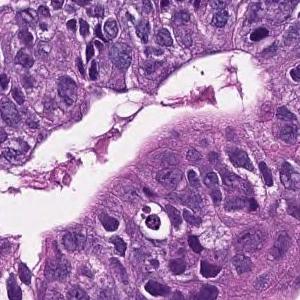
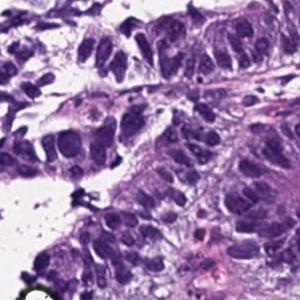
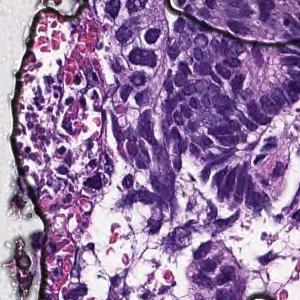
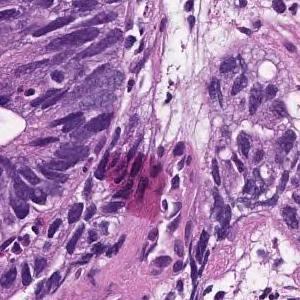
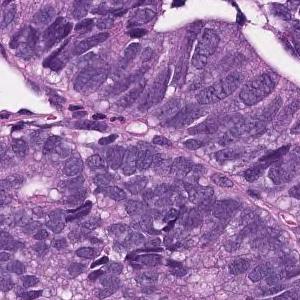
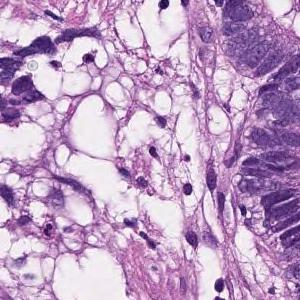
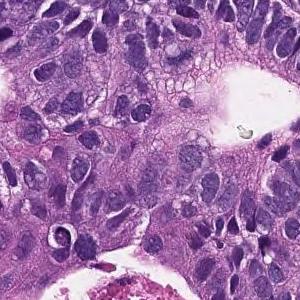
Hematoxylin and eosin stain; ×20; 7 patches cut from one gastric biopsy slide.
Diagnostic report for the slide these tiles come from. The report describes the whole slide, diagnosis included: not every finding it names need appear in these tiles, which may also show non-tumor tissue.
In the superficial epithelium, tumor tissue that invades by forming medium-sized to small, irregular ducts is observed. moderately differentiated tubular adenocarcinoma.
